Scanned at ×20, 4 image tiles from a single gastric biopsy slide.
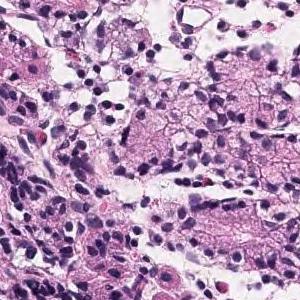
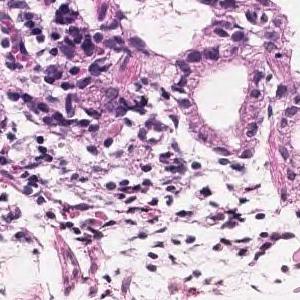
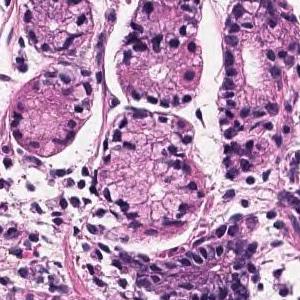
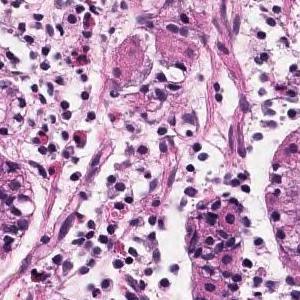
The pathologist's report on the biopsy slide these tiles were taken from. What the report and the diagnosis say applies to the whole slide; these tiles may miss some of the features named and may include tissue that is not tumor.
Tumor tissue that grows and grows is observed, showing a medium-sized round or irregular duct. moderately differentiated tubular adenocarcinoma
